8 patches cut from one gastric biopsy slide, 300 × 300 pixels each, 20× magnification.
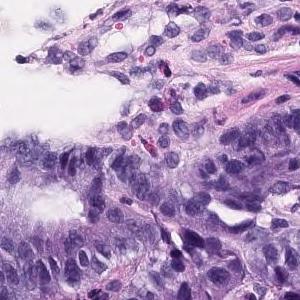
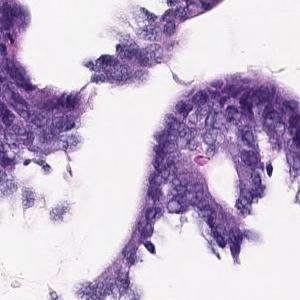
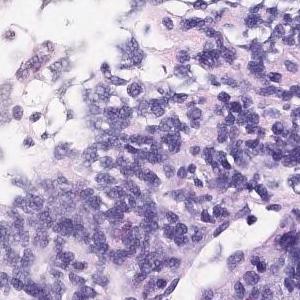
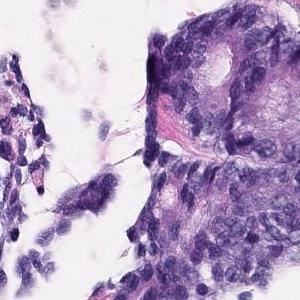
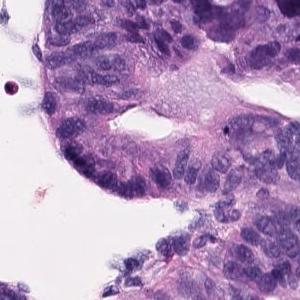
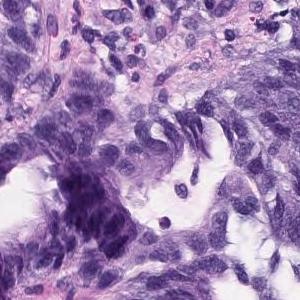
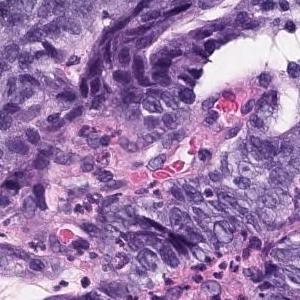
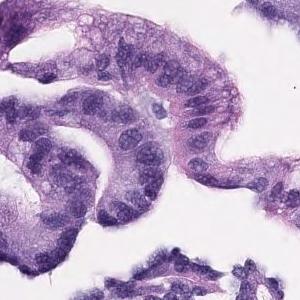
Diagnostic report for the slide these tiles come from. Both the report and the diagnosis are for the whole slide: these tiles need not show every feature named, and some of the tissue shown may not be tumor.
In the superficial epithelium, tumor tissue that invades by forming medium-sized to small, irregular ducts is observed. Well to moderately differentiated tubular adenocarcinoma.
